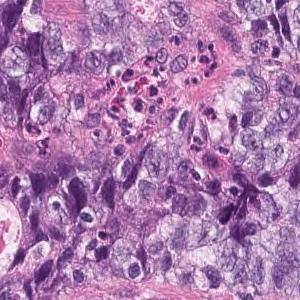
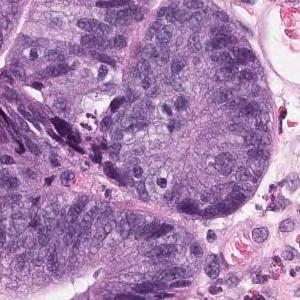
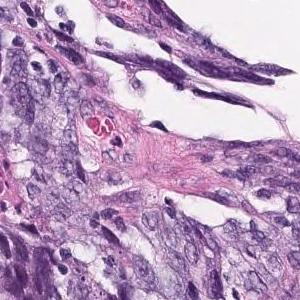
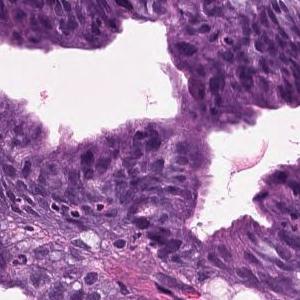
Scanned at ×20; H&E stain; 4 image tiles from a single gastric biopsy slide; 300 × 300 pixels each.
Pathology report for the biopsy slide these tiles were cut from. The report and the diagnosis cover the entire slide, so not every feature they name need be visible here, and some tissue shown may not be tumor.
Large atypical epithelial cells with swollen atypical nuclei are seen proliferating into a tubular fusion gland. moderately differentiated tubular adenocarcinoma
